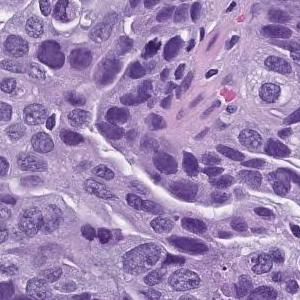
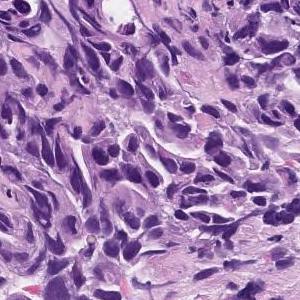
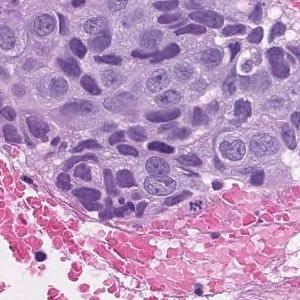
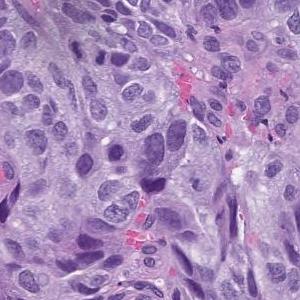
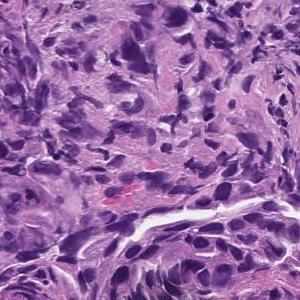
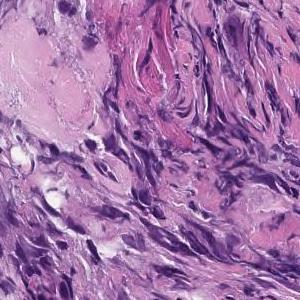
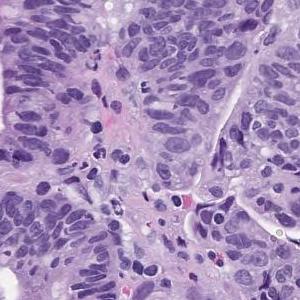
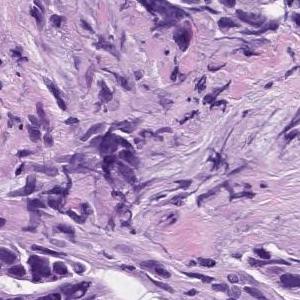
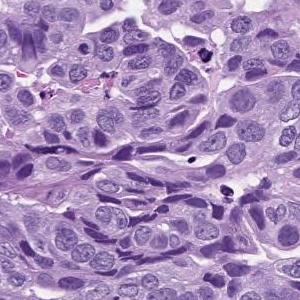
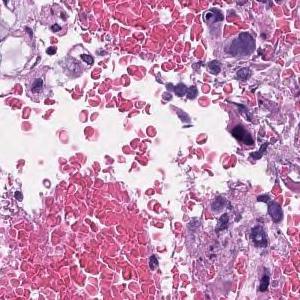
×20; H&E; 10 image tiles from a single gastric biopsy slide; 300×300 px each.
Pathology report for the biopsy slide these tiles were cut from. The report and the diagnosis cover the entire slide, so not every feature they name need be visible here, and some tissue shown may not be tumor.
In the superficial epithelium, tumor tissue that invades by forming medium-sized to small, irregular ducts is observed. moderately differentiated tubular adenocarcinoma.
